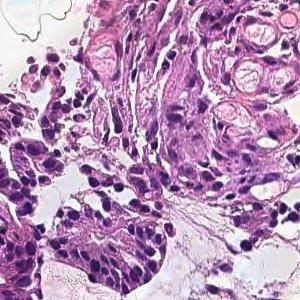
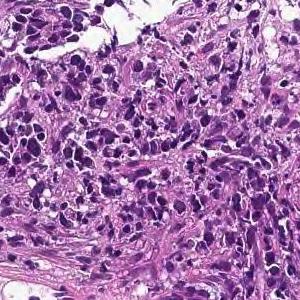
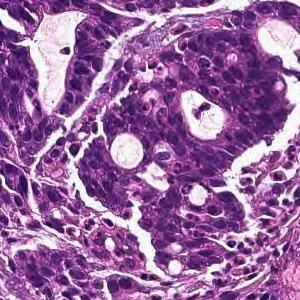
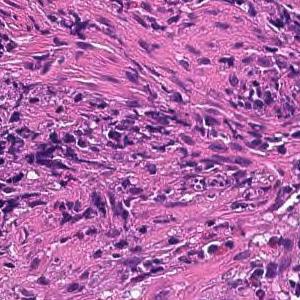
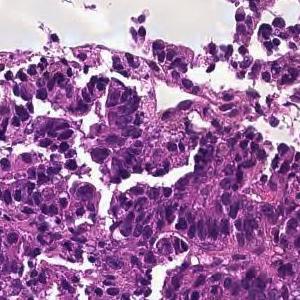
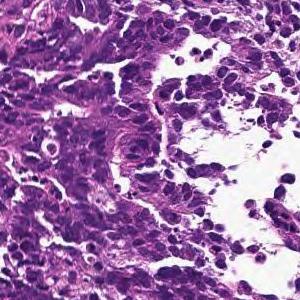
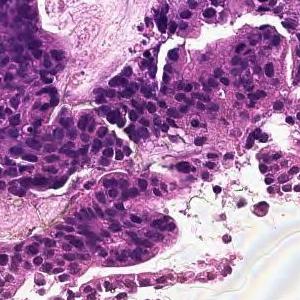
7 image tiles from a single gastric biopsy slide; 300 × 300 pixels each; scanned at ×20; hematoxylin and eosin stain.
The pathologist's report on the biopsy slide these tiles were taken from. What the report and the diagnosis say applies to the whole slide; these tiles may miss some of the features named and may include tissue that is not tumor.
In the superficial epithelium, tumor tissue that invades by forming medium-sized to small, irregular ducts is observed. moderately differentiated tubular adenocarcinoma.
